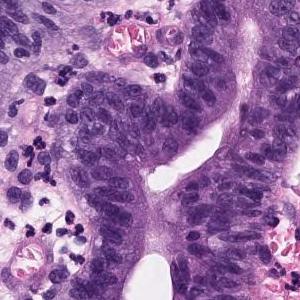
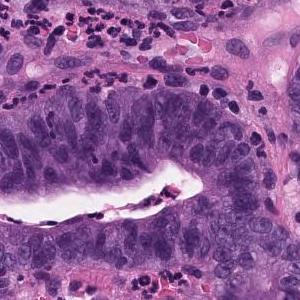
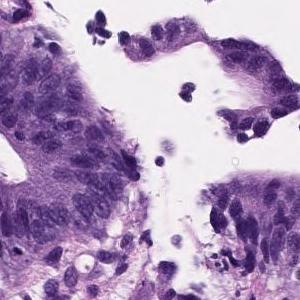
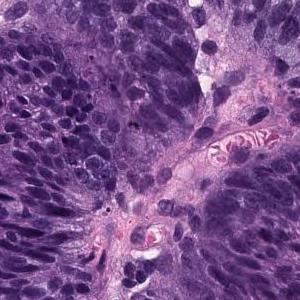
4 tiles cut from one stomach biopsy slide; each 300 × 300 pixels; 20× magnification; hematoxylin and eosin stain.
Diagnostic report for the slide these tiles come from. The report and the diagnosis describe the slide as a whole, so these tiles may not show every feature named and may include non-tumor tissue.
Papillo-tubular growth of atypical tubules with nuclear swelling is observed. Well differentiated tubular adenocarcinoma
